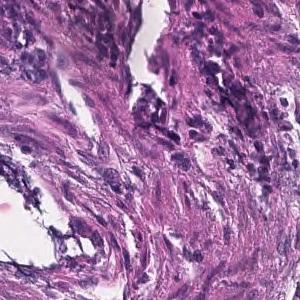
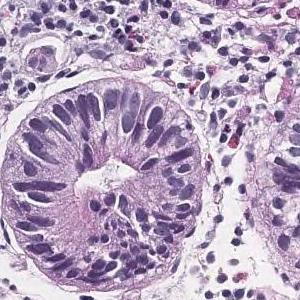
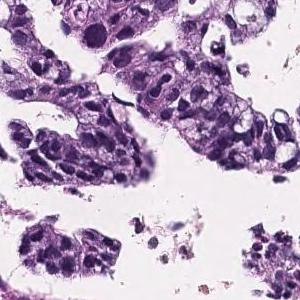
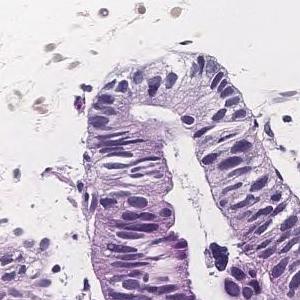
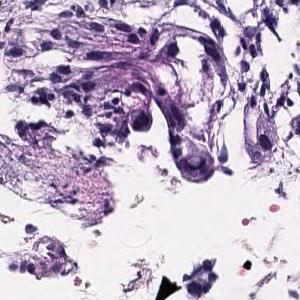
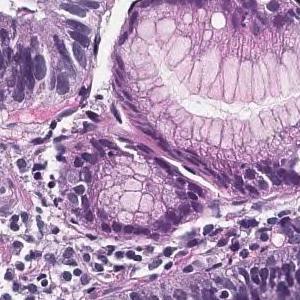
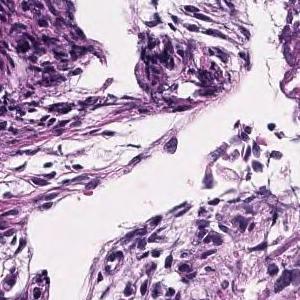
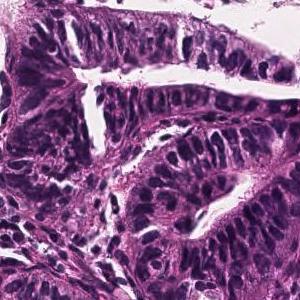
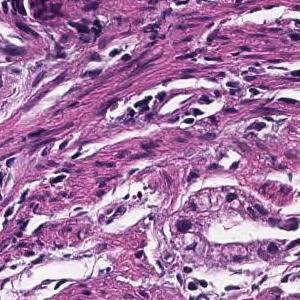
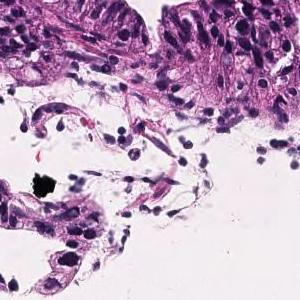
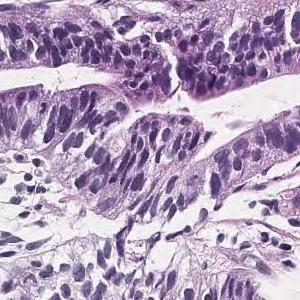
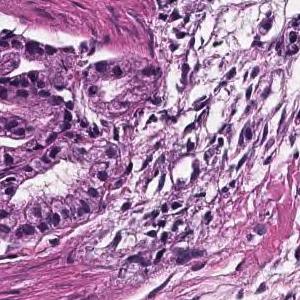
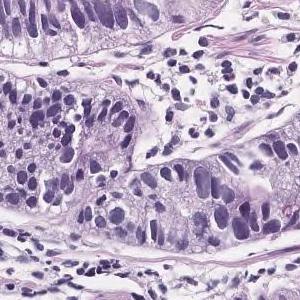
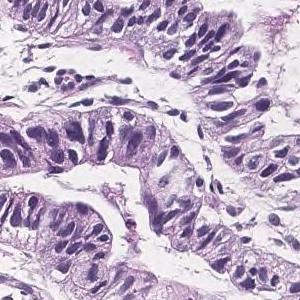
H&E stain, scanned at ×20, 14 patches cut from one gastric biopsy slide.
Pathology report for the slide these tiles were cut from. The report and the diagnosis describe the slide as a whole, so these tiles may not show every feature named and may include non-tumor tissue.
Tumor cells are large, highly columnar, large club-shaped nuclei, and are associated with chromatin aggregation. Papillary adenocarcinoma.
